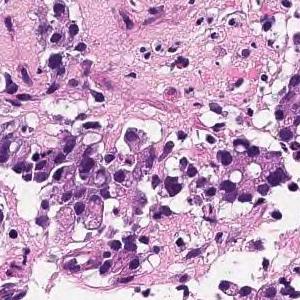
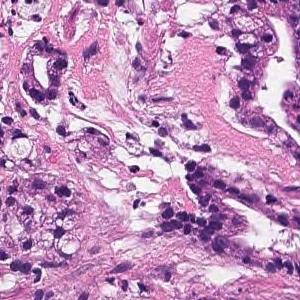
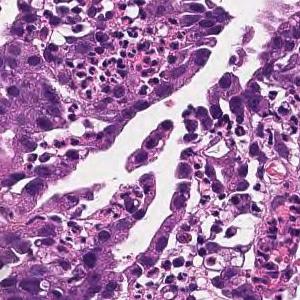
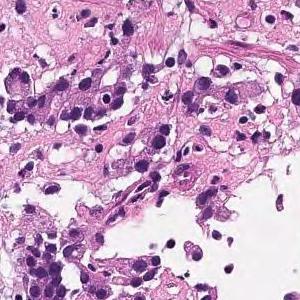
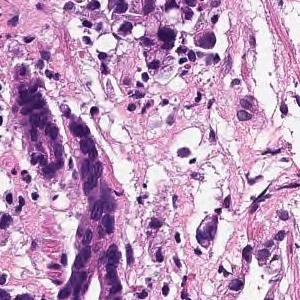
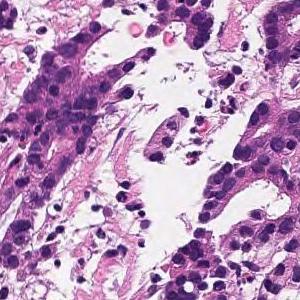
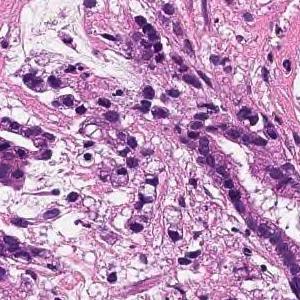
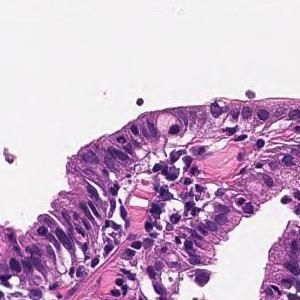
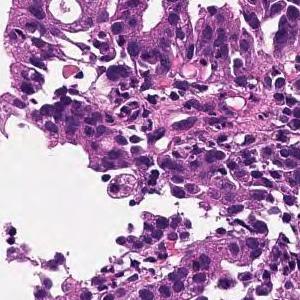
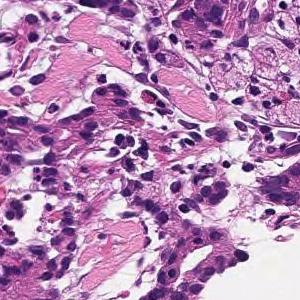
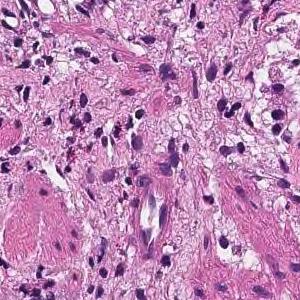
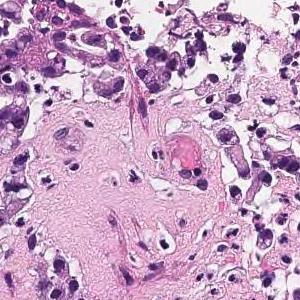
Scanned at ×20; hematoxylin and eosin stain; 12 tiles cut from one stomach biopsy slide; 300×300 px each.
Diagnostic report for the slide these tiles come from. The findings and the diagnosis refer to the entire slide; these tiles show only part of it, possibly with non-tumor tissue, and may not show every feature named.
In the superficial epithelium, tumor tissue that invades by forming medium-sized to small, irregular ducts is observed. moderately differentiated tubular adenocarcinoma.
